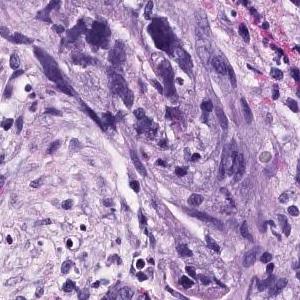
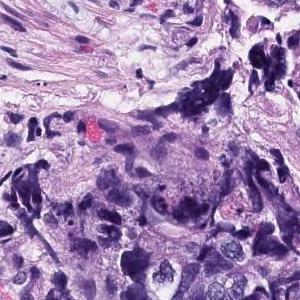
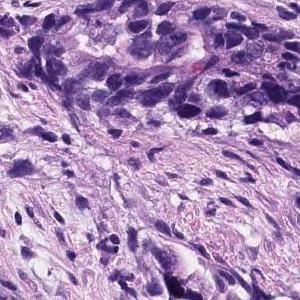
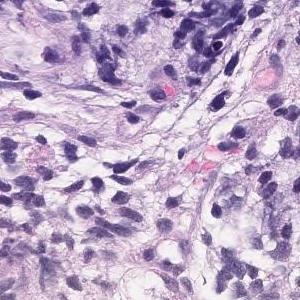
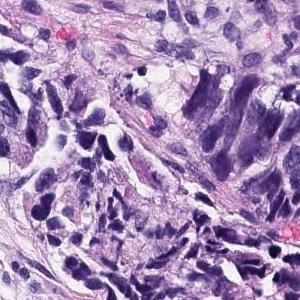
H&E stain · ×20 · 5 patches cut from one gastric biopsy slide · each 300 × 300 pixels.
The pathologist's report on the biopsy slide these tiles were taken from. What the report and the diagnosis say applies to the whole slide; these tiles may miss some of the features named and may include tissue that is not tumor.
The superficial epithelium shows small cord-like infiltrating tumor tissue. Some part of neoplastic cells are signet ring cell type which show single invasion manner. Poorly differentiated adenocarcinoma, non-solid type.
The term "non-solid type" comes from the Japanese Classification of Gastric Carcinoma.
